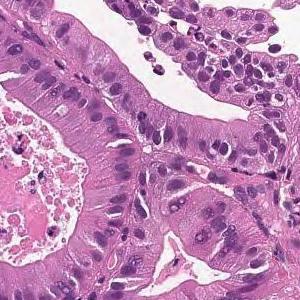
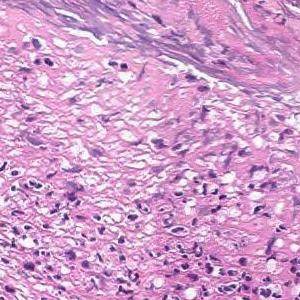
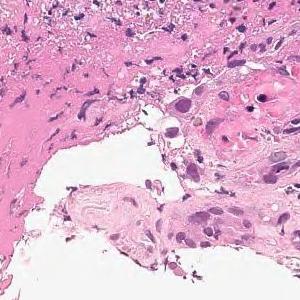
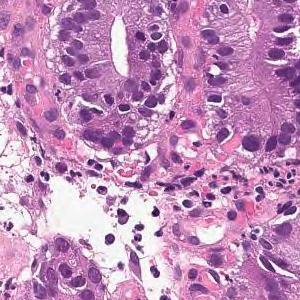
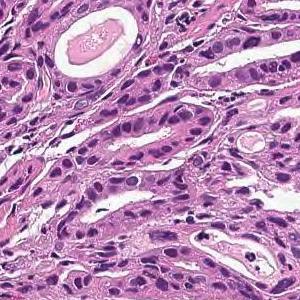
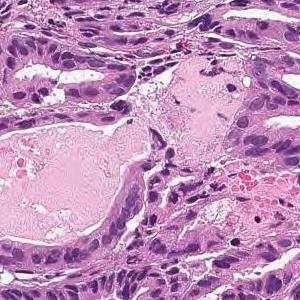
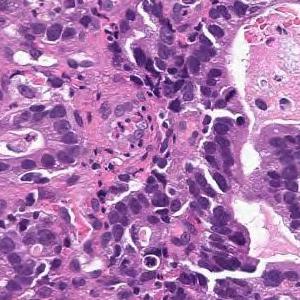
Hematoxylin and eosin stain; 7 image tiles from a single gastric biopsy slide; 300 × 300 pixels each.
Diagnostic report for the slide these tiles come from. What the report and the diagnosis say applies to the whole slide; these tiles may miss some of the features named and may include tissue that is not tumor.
From the superficial epithelium to the muscularis mucosae, tumor tissue consisting of medium-sized and irregular glandular ducts infiltrating is observed. Well differentiated tubular adenocarcinoma
